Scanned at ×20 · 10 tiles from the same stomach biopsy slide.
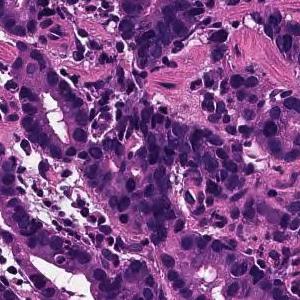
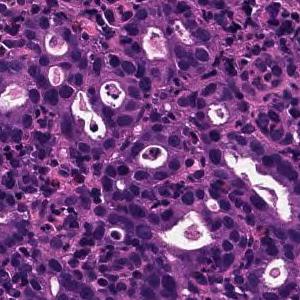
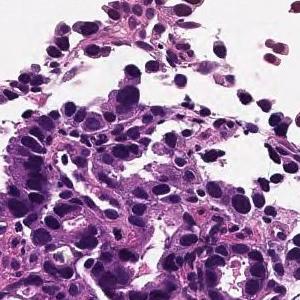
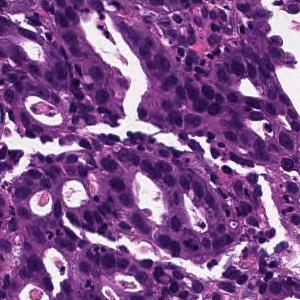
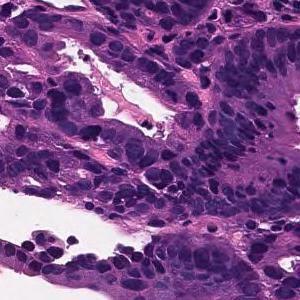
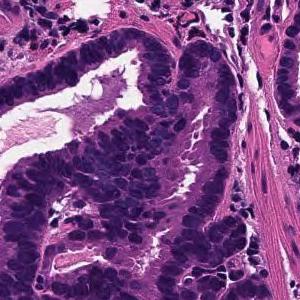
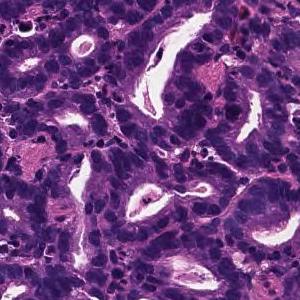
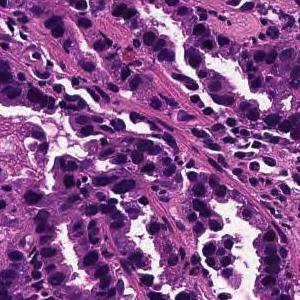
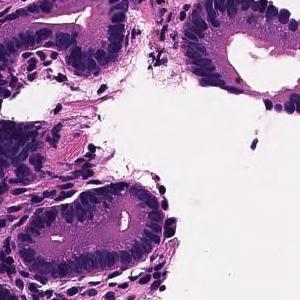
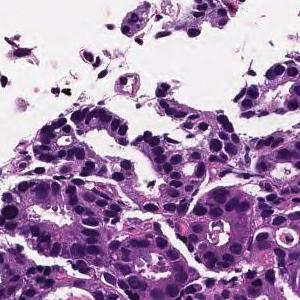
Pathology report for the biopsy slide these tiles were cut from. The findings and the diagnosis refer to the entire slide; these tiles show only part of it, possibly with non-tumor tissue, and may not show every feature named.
On the superficial epithelium, tumor tissue is found in which medium-sized irregular gland ducts fuse with each other and infiltrate. moderately differentiated tubular adenocarcinoma
